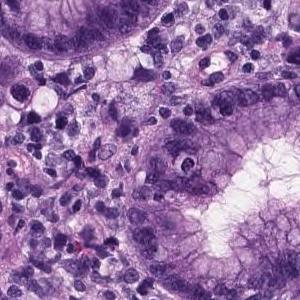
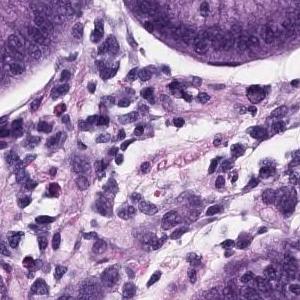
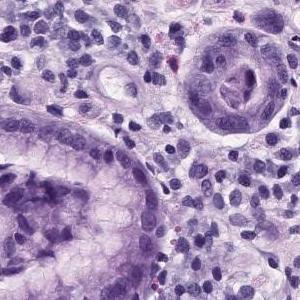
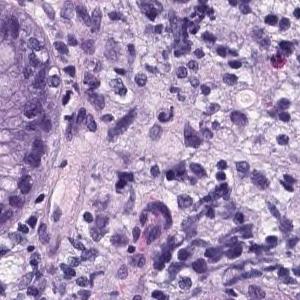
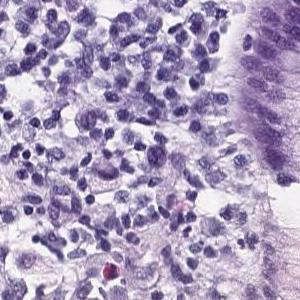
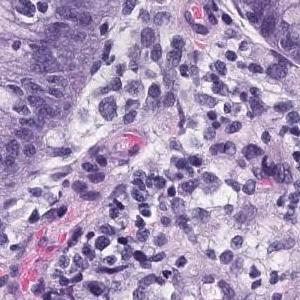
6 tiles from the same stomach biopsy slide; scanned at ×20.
Report on the slide these tiles come from. What the report and the diagnosis say applies to the whole slide; these tiles may miss some of the features named and may include tissue that is not tumor.
Group 5, Adenocarcinoma. Poorly differentiated adenocarcinoma, non-solid type
The non-solid type named here is a Japanese Classification of Gastric Carcinoma category.
